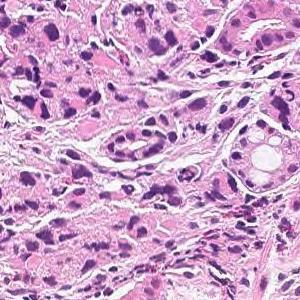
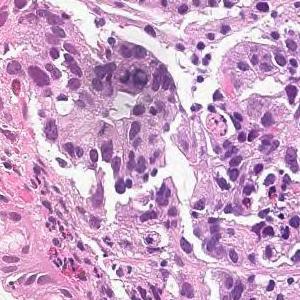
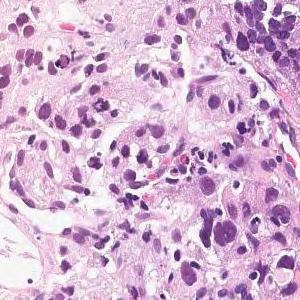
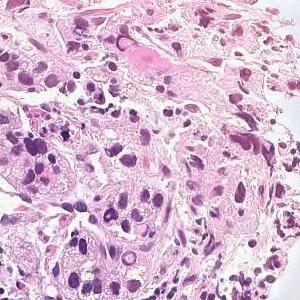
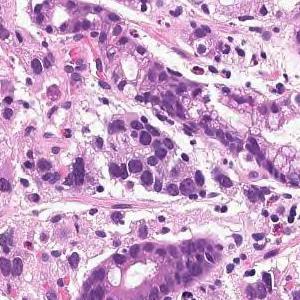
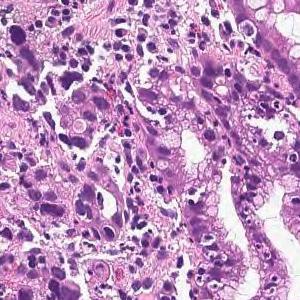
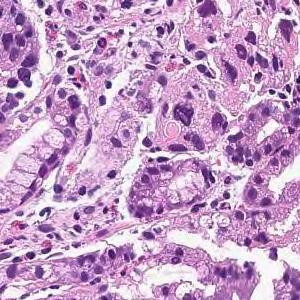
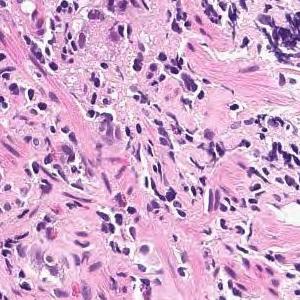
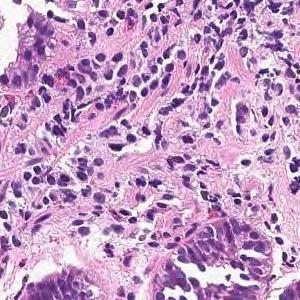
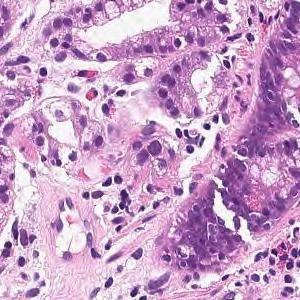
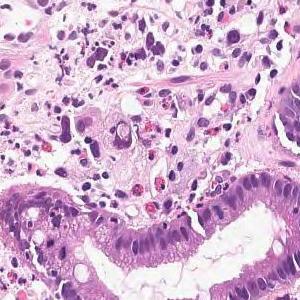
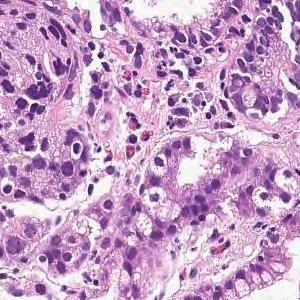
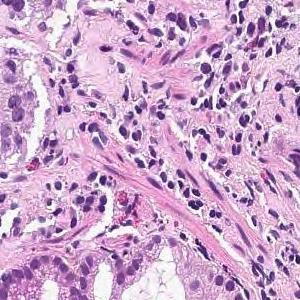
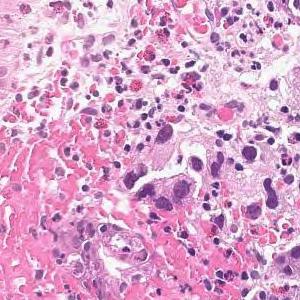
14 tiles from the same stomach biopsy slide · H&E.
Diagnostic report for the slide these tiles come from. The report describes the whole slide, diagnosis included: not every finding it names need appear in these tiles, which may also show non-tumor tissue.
Tumor tissue consisting of medium-sized, cord-like or irregular glandular infiltration is observed in the superficial epithelium. Poorly differentiated adenocarcinoma, non-solid type or moderately differentiated tubular adenocarcinoma (moderately differentiated tubular adenocarcinoma)
The dataset labels this slide moderately differentiated tubular adenocarcinoma.
The term "non-solid type" comes from the Japanese Classification of Gastric Carcinoma.
